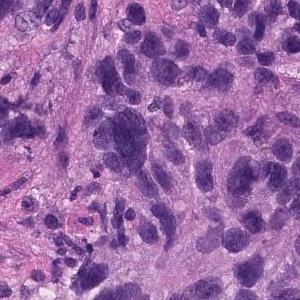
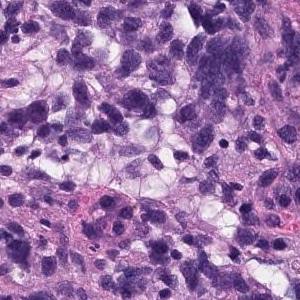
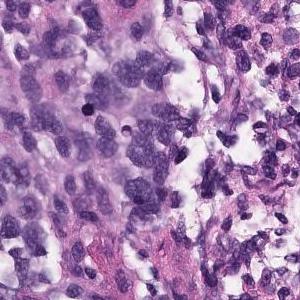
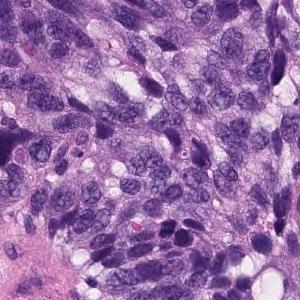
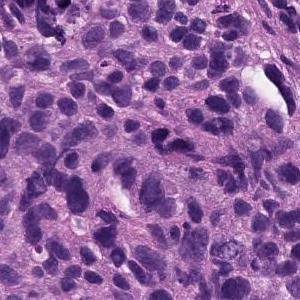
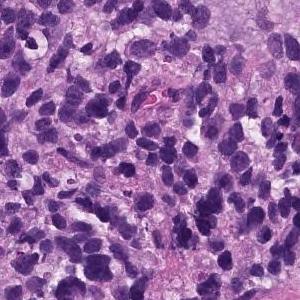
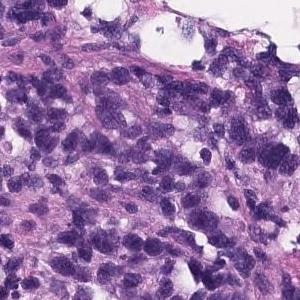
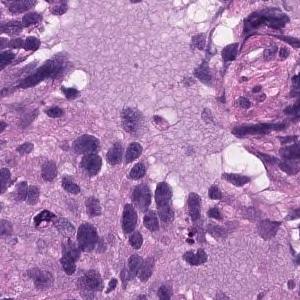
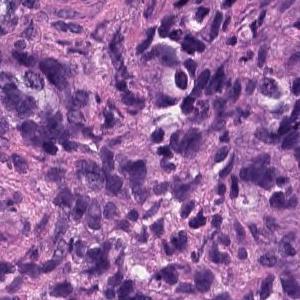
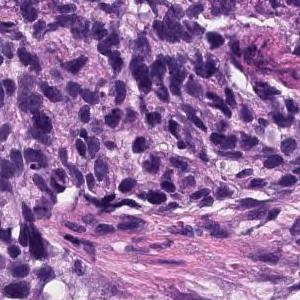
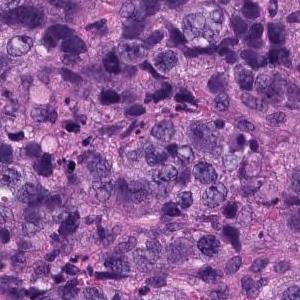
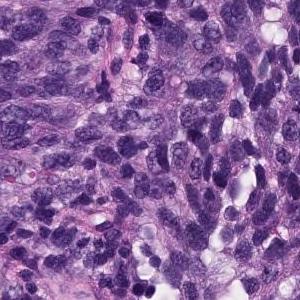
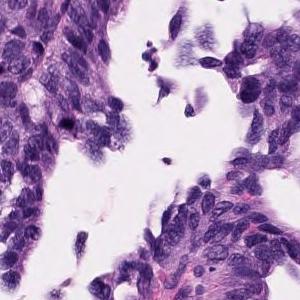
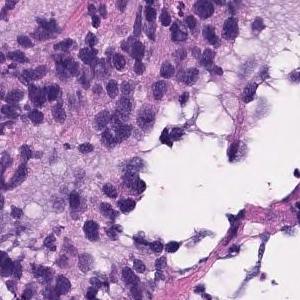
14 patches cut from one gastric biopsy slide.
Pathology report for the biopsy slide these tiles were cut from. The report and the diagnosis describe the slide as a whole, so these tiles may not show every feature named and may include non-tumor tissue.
Atypical l cells with atypical nuclei under the mucosa growing in isolation and scattered. Poorly differentiated adenocarcinoma (poorly differentiated adenocarcinoma, non-solid type)
Classified as poorly differentiated adenocarcinoma, non-solid type.
The non-solid type named here is a Japanese Classification of Gastric Carcinoma category.
